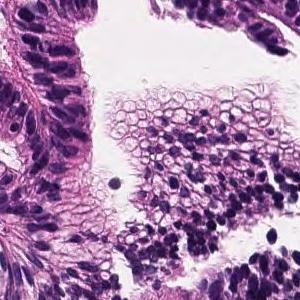
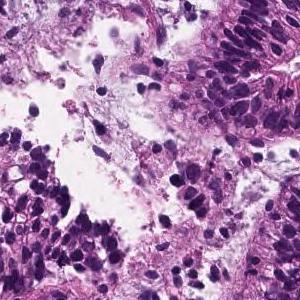
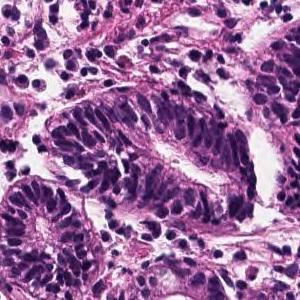
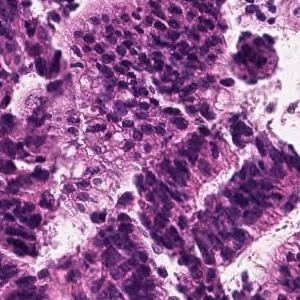
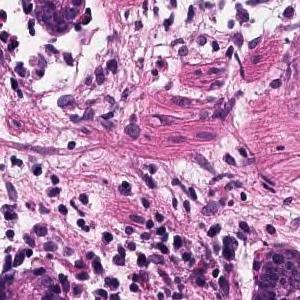
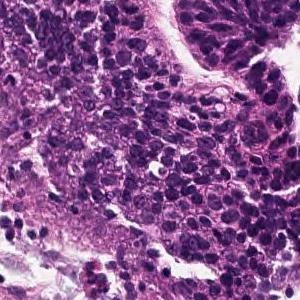
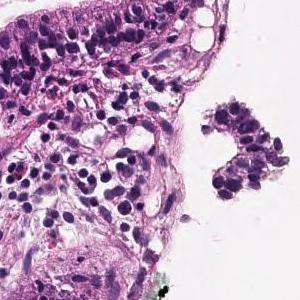
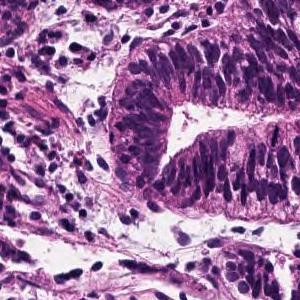
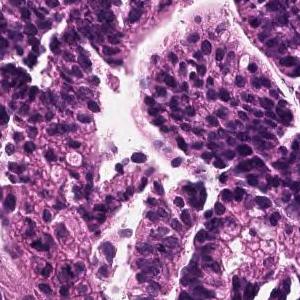
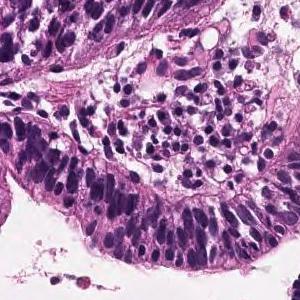
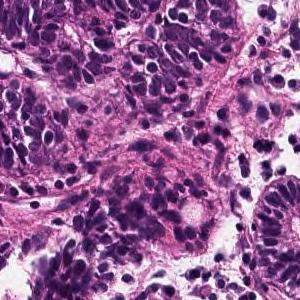
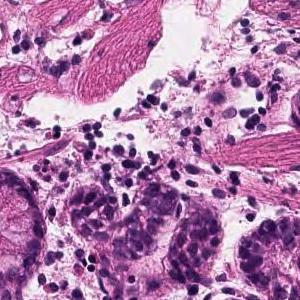
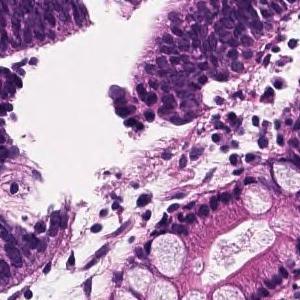
H&E · ×20 · 13 tiles cut from one stomach biopsy slide · 300 × 300 pixels each.
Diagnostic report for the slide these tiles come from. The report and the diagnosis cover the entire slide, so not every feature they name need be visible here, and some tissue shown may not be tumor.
Tumor cells are large, highly columnar, large club-shaped nuclei, and are associated with chromatin aggregation. Papillary adenocarcinoma.
